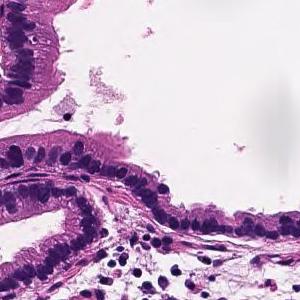
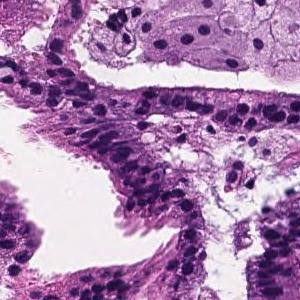
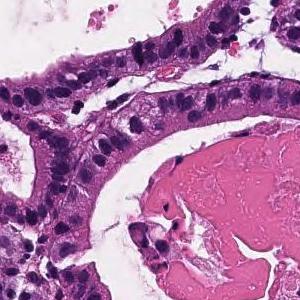
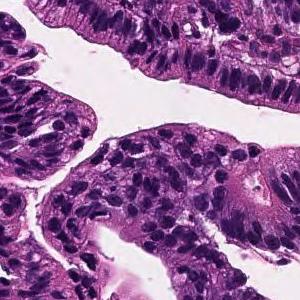
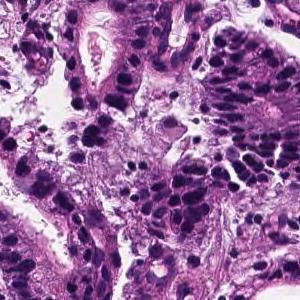
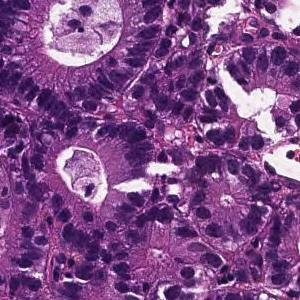
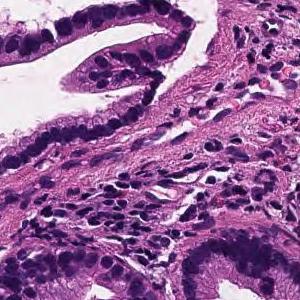
H&E; 7 image tiles from a single gastric biopsy slide.
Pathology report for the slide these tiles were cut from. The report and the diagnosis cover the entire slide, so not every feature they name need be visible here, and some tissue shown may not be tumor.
From the superficial epithelium to the muscularis mucosae, tumor tissue consisting of medium-sized and irregular glandular ducts infiltrating is observed. Well differentiated tubular adenocarcinoma
